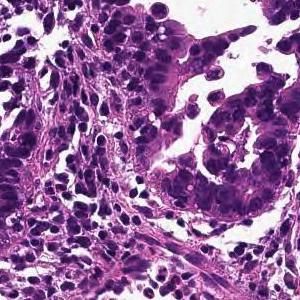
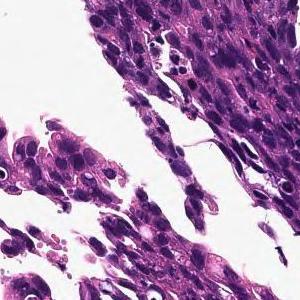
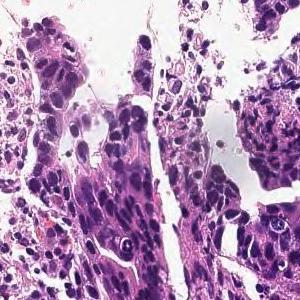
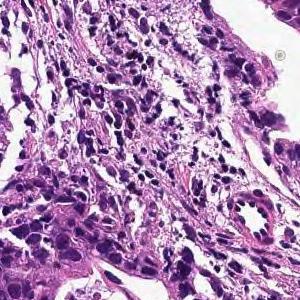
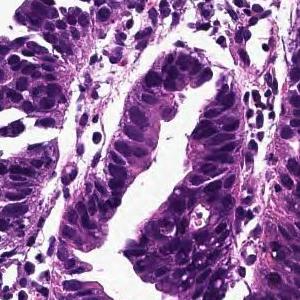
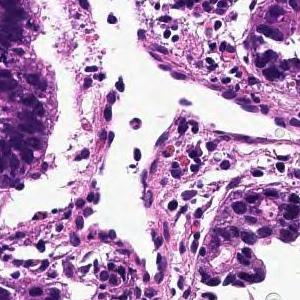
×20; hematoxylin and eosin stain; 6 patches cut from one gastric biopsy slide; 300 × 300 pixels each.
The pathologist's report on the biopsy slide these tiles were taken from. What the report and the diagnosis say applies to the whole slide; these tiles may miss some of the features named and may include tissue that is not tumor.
In the superficial epithelium, tumor tissue that invades by forming medium-sized to small, irregular ducts is observed. moderately differentiated tubular adenocarcinoma.
